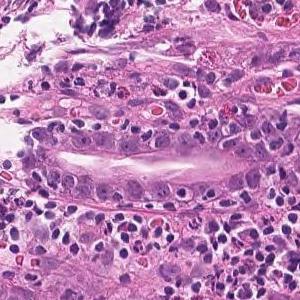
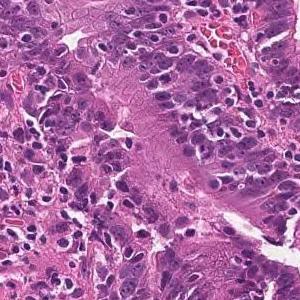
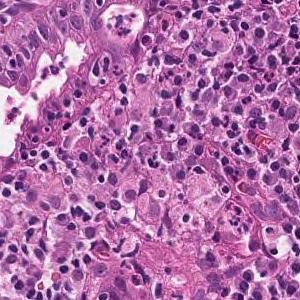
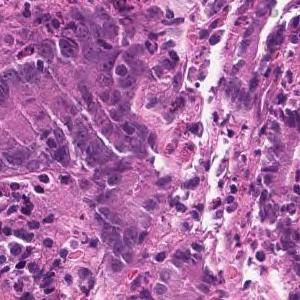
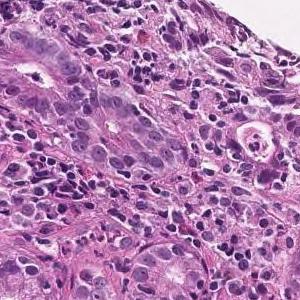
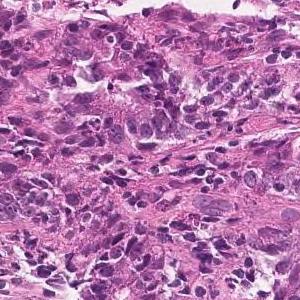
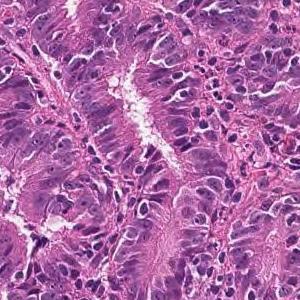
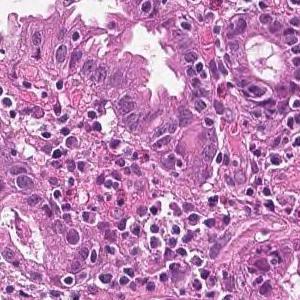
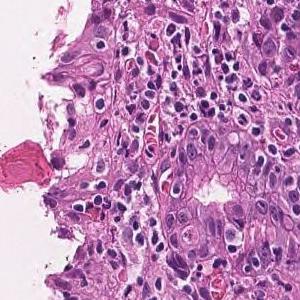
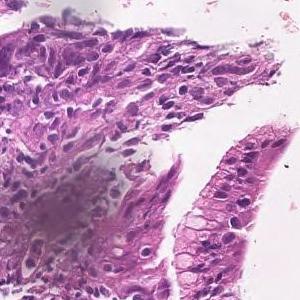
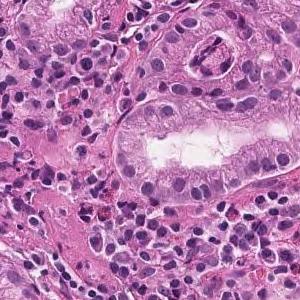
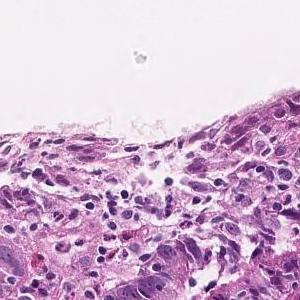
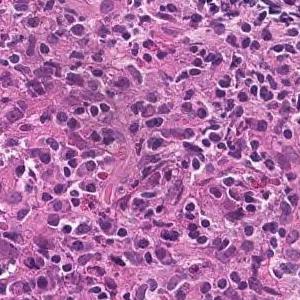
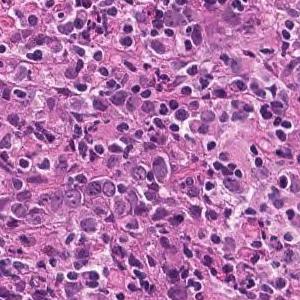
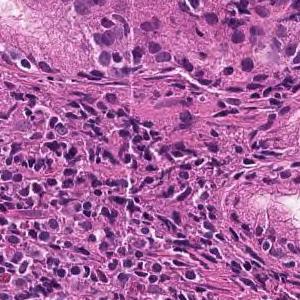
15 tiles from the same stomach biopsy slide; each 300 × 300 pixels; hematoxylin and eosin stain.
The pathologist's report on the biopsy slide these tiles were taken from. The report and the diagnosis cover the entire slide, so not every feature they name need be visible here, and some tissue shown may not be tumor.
Tumor tissue consisting of medium-sized, cord-like or irregular glandular infiltration is observed in the superficial epithelium. Poorly differentiated adenocarcinoma, non-solid type or moderately differentiated tubular adenocarcinoma
The dataset labels this slide poorly differentiated adenocarcinoma, non-solid type.
The non-solid type named here is a Japanese Classification of Gastric Carcinoma category.
